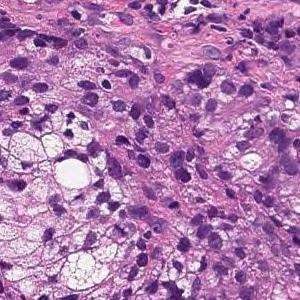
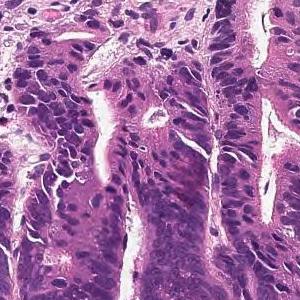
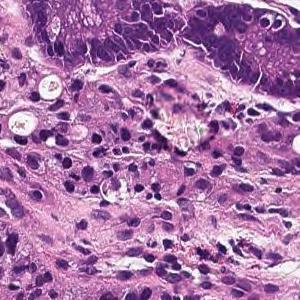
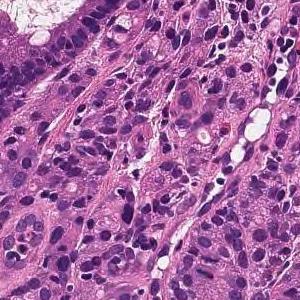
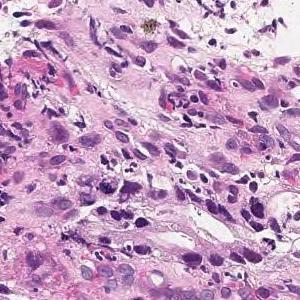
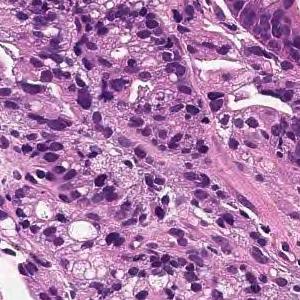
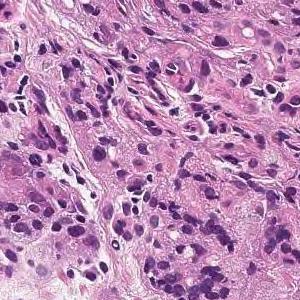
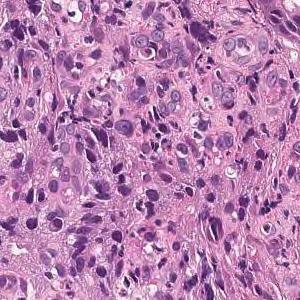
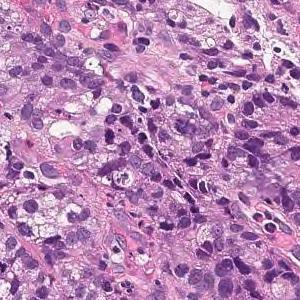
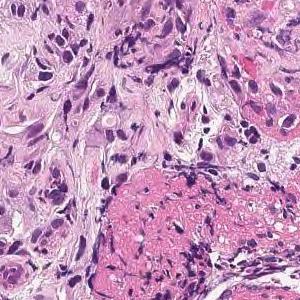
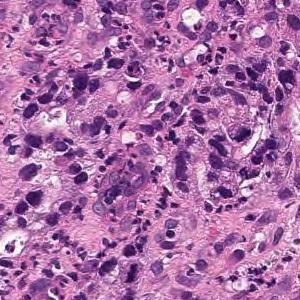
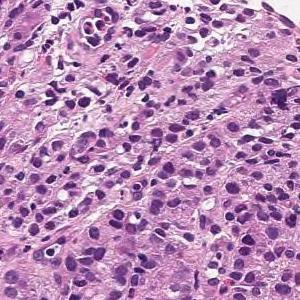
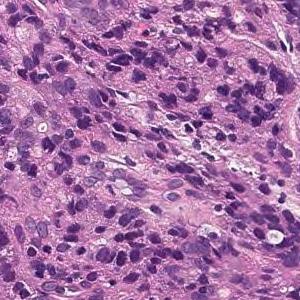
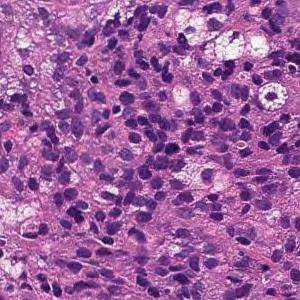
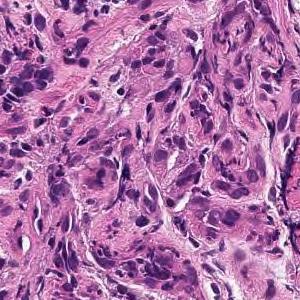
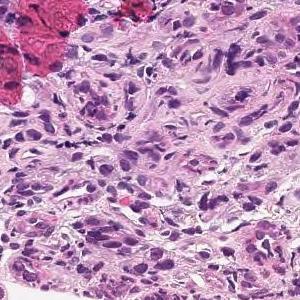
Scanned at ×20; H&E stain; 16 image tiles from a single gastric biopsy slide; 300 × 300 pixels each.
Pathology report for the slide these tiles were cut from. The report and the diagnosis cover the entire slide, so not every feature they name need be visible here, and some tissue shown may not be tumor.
In the superficial epithelium, medium to small irregular gland ducts are formed, and in some cases, the ducts are fused to show solid alveolar lesions and infiltrating tumor tissue is observed. moderately differentiated tubular adenocarcinoma or poorly differentiated adenocarcinoma, solid-type (poorly differentiated adenocarcinoma, solid type)
The dataset labels this slide poorly differentiated adenocarcinoma, solid type (Japanese Classification of Gastric Carcinoma). The WHO 2019 equivalent is tubular adenocarcinoma, poorly differentiated.
